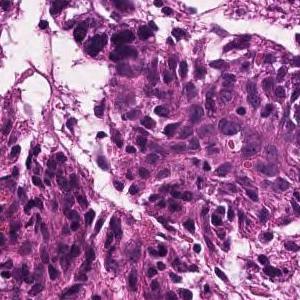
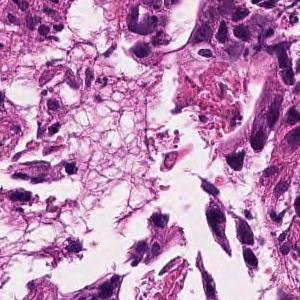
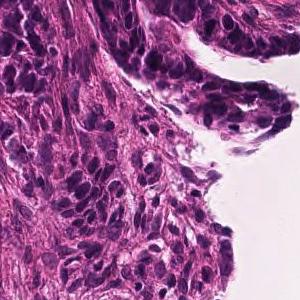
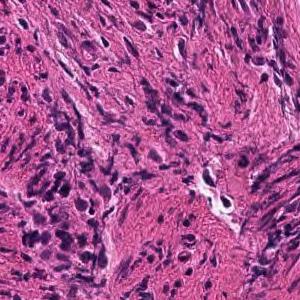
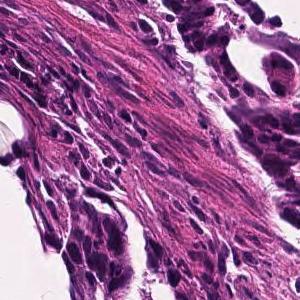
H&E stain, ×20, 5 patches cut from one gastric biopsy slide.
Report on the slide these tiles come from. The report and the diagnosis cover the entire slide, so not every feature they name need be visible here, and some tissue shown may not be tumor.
In the superficial epithelium, tumor tissue that invades by forming medium-sized to small, irregular ducts is observed. moderately differentiated tubular adenocarcinoma.
